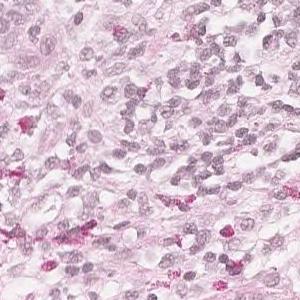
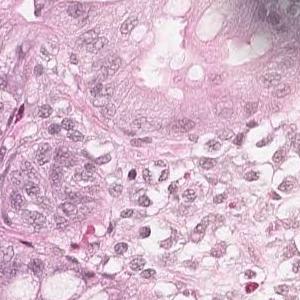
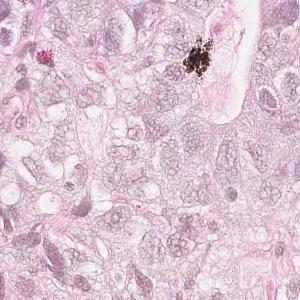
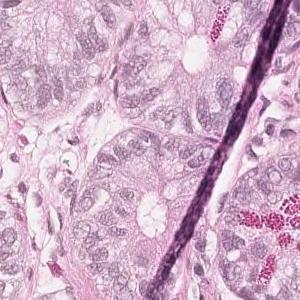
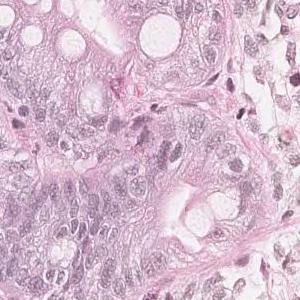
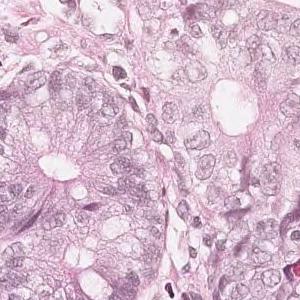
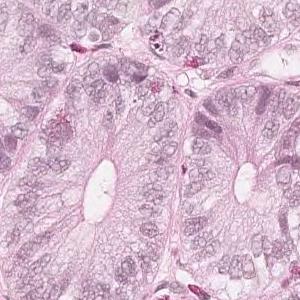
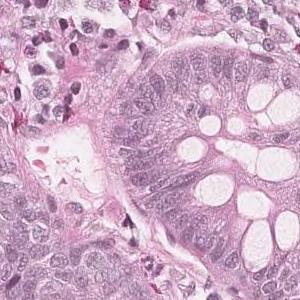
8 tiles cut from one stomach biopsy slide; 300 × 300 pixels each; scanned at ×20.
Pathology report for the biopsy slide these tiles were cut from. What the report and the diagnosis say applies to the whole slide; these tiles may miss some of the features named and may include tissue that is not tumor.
Medium to small, irregular glandular ducts are formed in the superficial epithelium, and in some cases, the glandular ducts are fused to show solid alveolar lesions and infiltrating tumor tissue is observed. Moderately to poorly differentiated adenocarcinoma.
